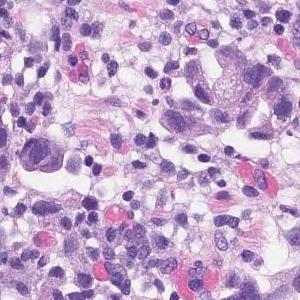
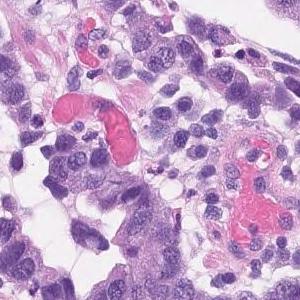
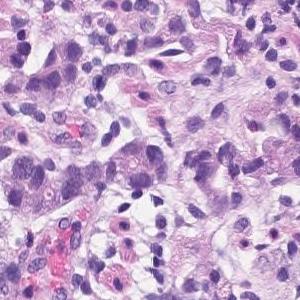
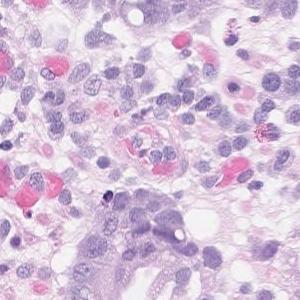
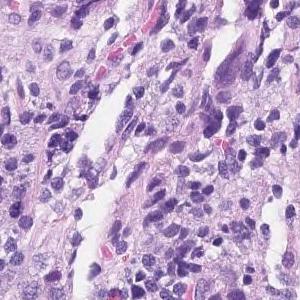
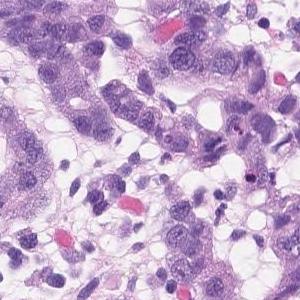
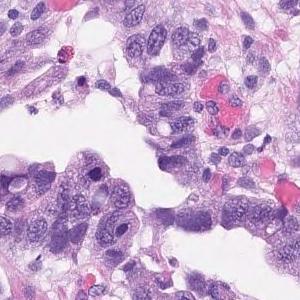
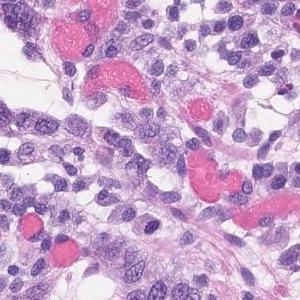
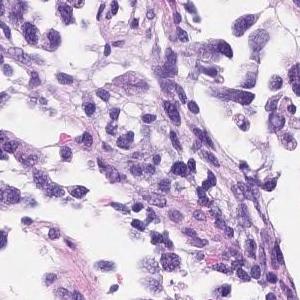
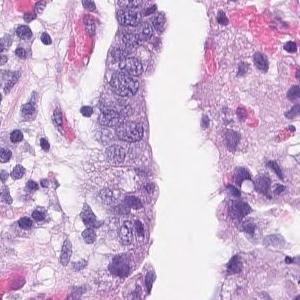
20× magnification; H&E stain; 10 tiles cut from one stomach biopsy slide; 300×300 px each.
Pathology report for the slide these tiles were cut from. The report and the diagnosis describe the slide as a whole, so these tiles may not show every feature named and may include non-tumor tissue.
Atypical l cells with atypical nuclei forming solid or diffuse vesicles or small irregular atypical ducts and growing in a complex manner. poorly differentiated adenocarcinoma, solid type, moderately differentiated tubular adenocarcinoma.
Histological subtypes: Poorly differentiated adenocarcinoma, solid type and moderately differentiated tubular adenocarcinoma.
The term "solid type" comes from the Japanese Classification of Gastric Carcinoma; the WHO 2019 equivalent is tubular adenocarcinoma, poorly differentiated.
